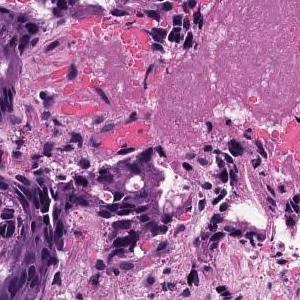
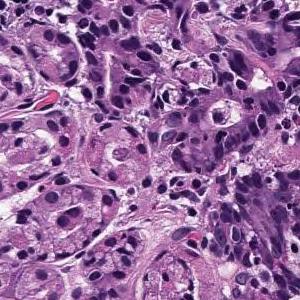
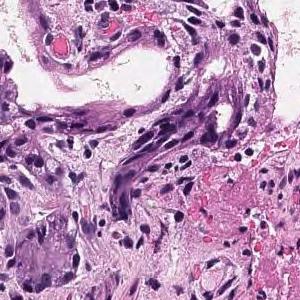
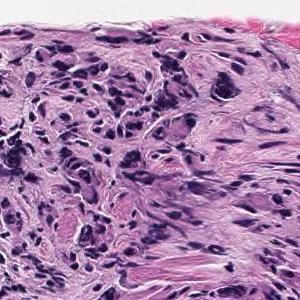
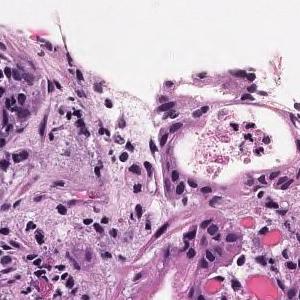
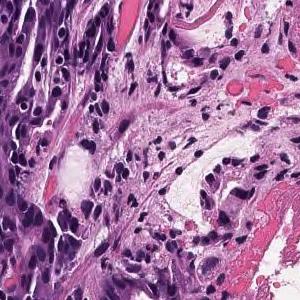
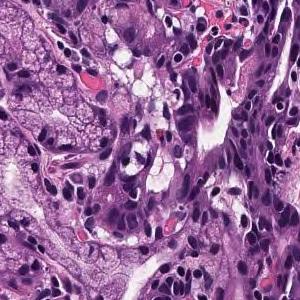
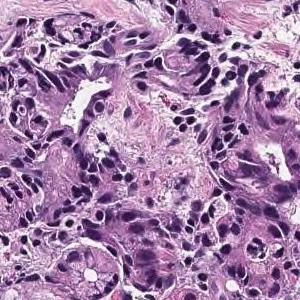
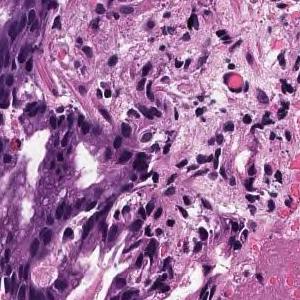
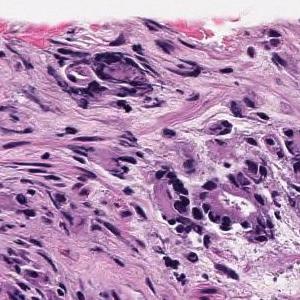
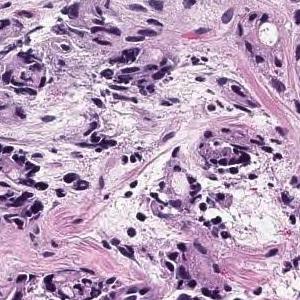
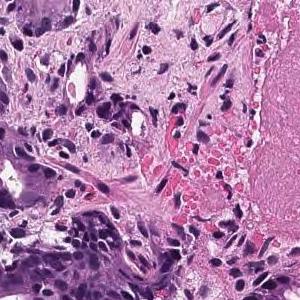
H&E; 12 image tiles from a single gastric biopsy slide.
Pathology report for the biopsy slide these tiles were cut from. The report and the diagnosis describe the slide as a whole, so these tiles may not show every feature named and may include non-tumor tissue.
On the superficial epithelium, tumor tissue is found in which medium-sized irregular gland ducts fuse with each other and infiltrate. moderately differentiated tubular adenocarcinoma
